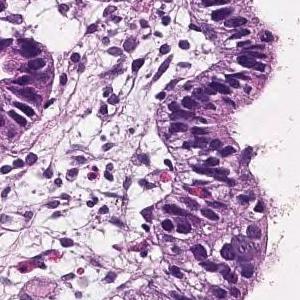
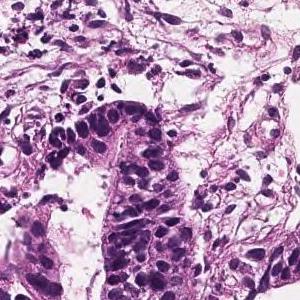
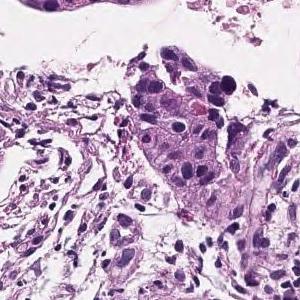
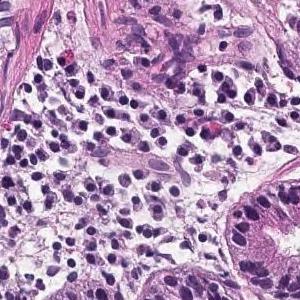
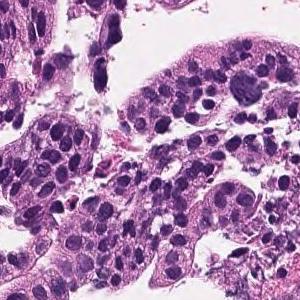
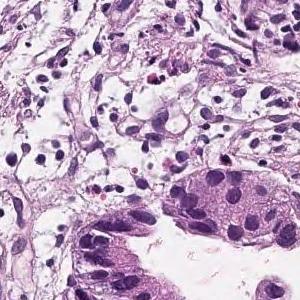
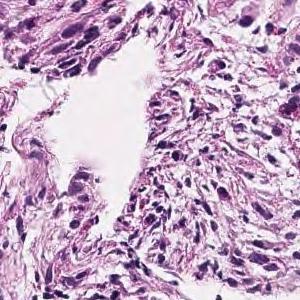
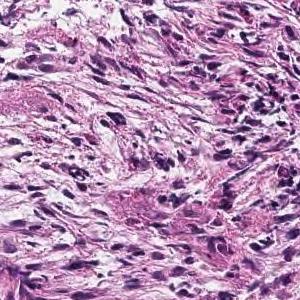
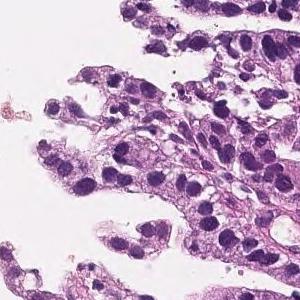
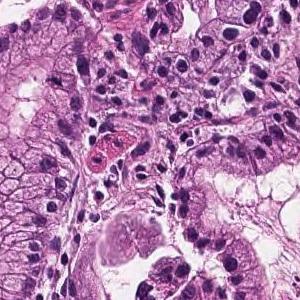
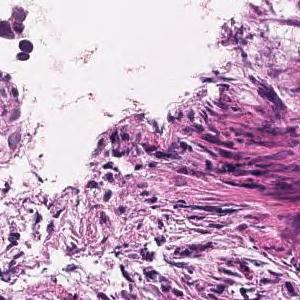
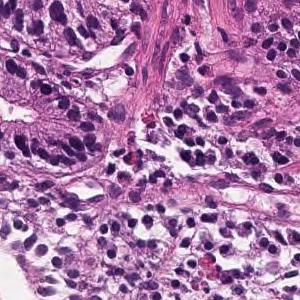
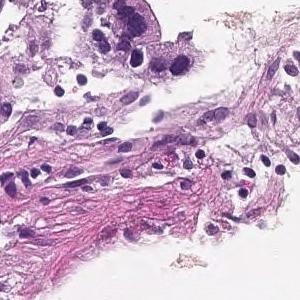
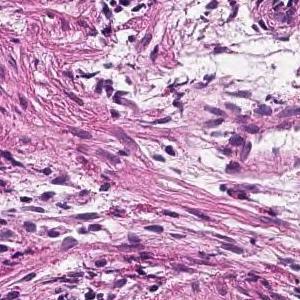
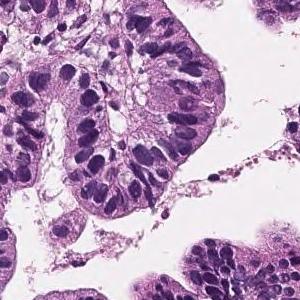
Scanned at ×20; hematoxylin and eosin stain; 15 patches cut from one gastric biopsy slide; 300 × 300 pixels each.
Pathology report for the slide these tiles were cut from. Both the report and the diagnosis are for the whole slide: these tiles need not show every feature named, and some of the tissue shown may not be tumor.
On the superficial epithelium, tumor tissue consisting of large, irregular glandular ducts partially fused and infiltrated is observed. Well to moderately differentiated tubular adenocarcinoma (well differentiated tubular adenocarcinoma, moderately differentiated tubular adenocarcinoma)
Classified as well to moderately differentiated tubular adenocarcinoma.
